Hematoxylin and eosin stain, ×20, 8 tiles from the same stomach biopsy slide.
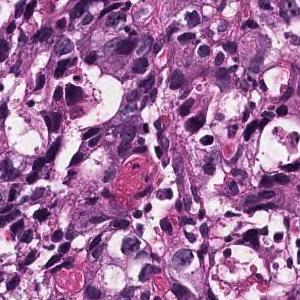
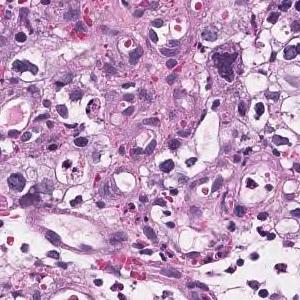
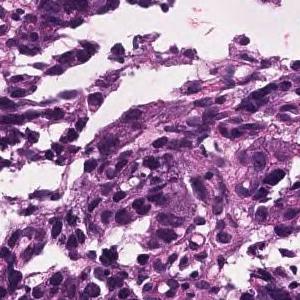
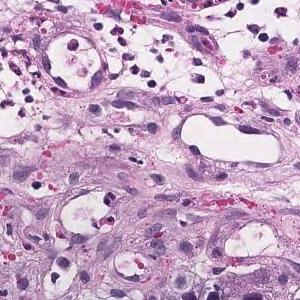
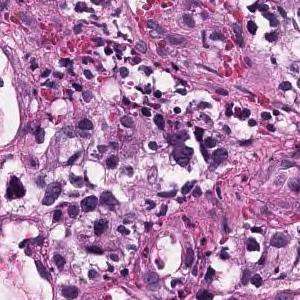
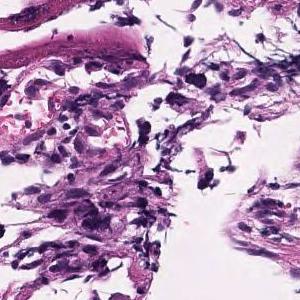
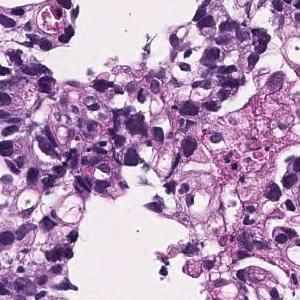
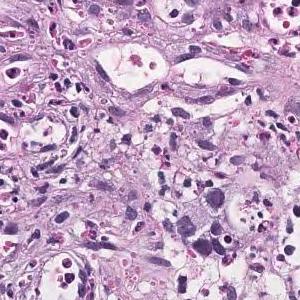
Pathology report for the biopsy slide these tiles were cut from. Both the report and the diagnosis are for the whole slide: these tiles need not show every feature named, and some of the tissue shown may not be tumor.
Tumor tissue consisting of medium-sized, cord-like or irregular glandular infiltration is observed in the superficial epithelium. Poorly differentiated adenocarcinoma, non-solid type or moderately differentiated tubular adenocarcinoma
The non-solid type named here is a Japanese Classification of Gastric Carcinoma category.
